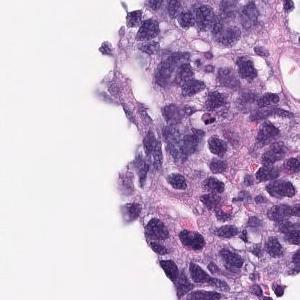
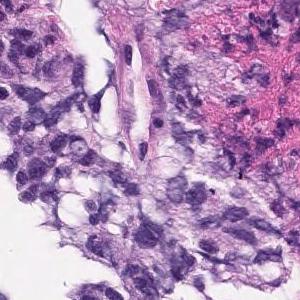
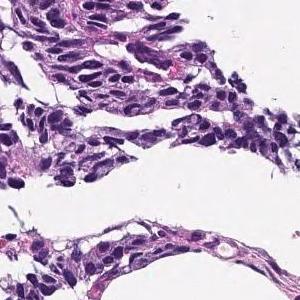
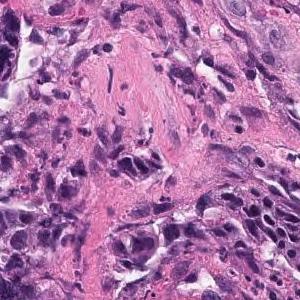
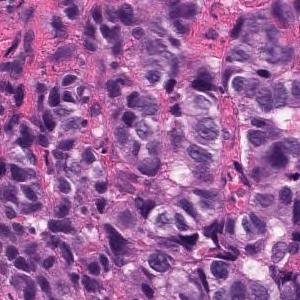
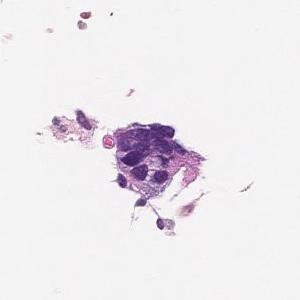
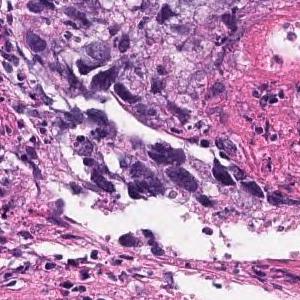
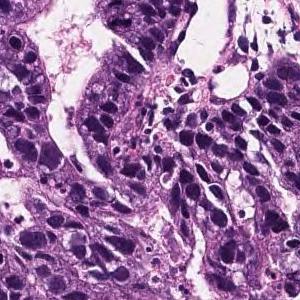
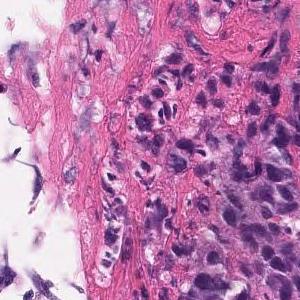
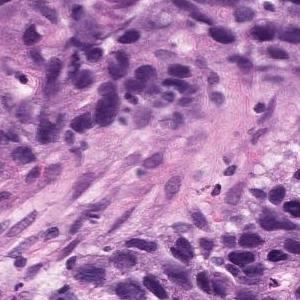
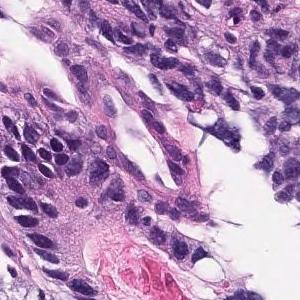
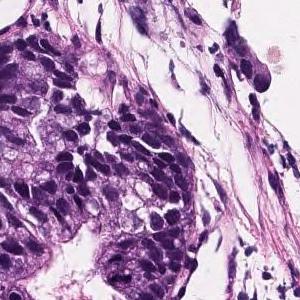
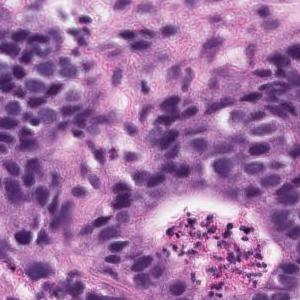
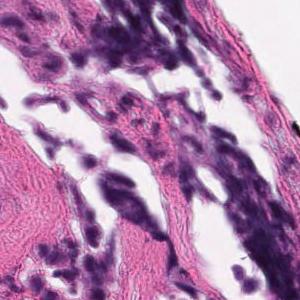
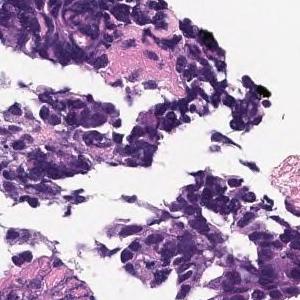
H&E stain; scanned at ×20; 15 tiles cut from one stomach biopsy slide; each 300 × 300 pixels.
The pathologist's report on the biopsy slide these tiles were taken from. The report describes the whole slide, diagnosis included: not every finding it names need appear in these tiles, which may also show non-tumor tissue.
Medium to small, irregular glandular ducts are formed in the superficial epithelium, and in some cases, the glandular ducts are fused to show solid alveolar lesions and infiltrating tumor tissue is observed. Moderately to poorly differentiated adenocarcinoma.
